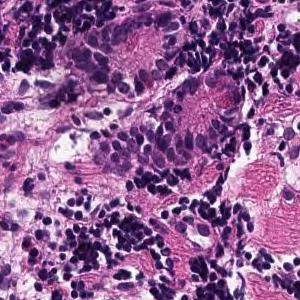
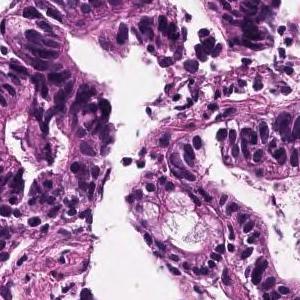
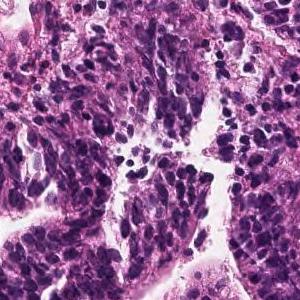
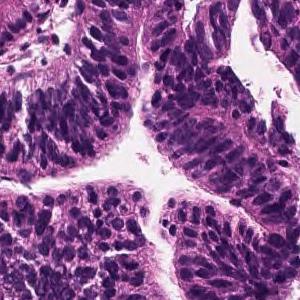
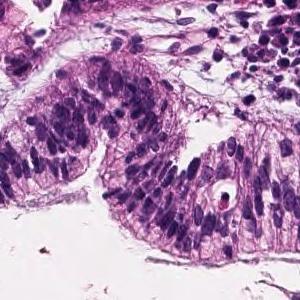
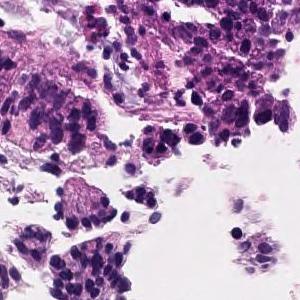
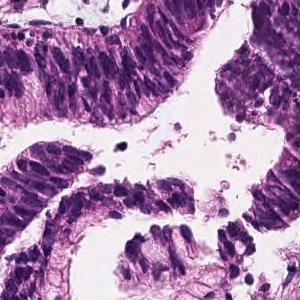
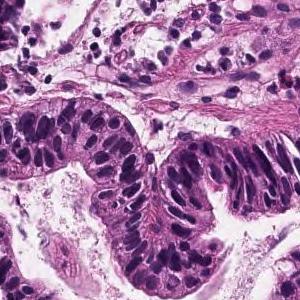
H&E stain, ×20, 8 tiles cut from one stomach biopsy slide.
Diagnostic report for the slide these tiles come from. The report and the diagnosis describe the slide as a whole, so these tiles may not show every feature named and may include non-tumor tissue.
Tumor cells are large, highly columnar, large club-shaped nuclei, and are associated with chromatin aggregation. Papillary adenocarcinoma.
